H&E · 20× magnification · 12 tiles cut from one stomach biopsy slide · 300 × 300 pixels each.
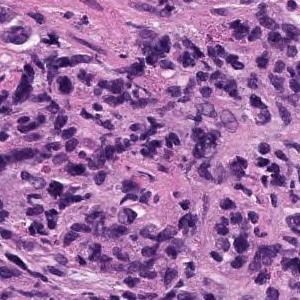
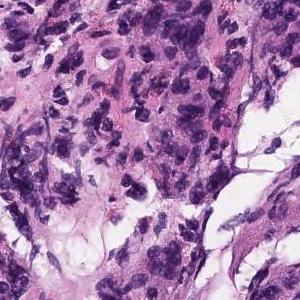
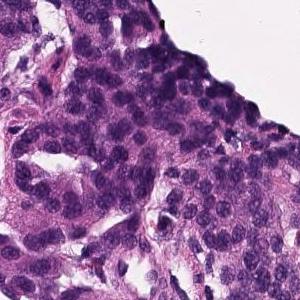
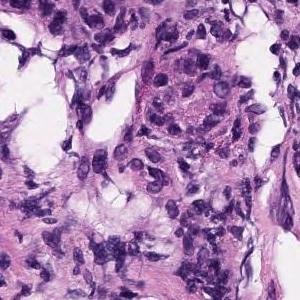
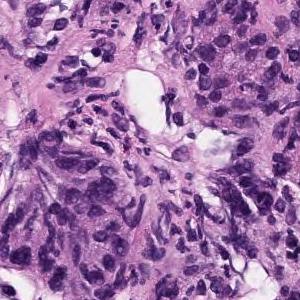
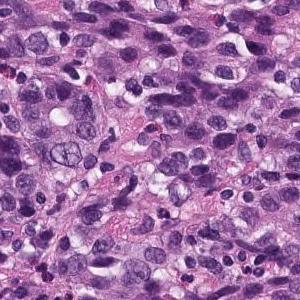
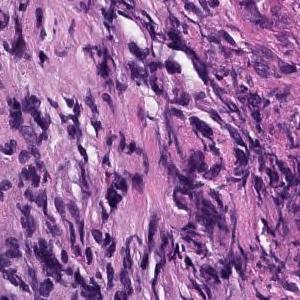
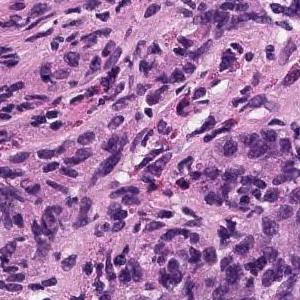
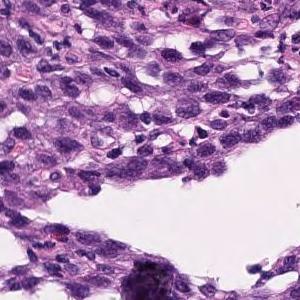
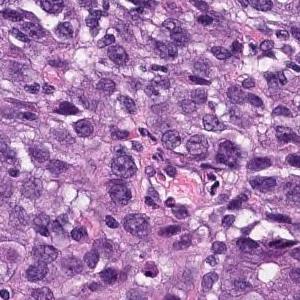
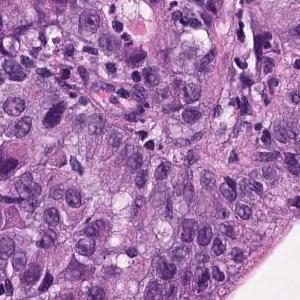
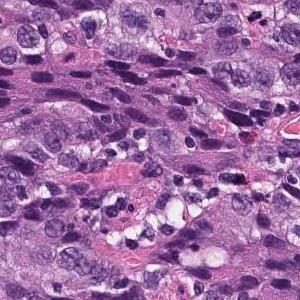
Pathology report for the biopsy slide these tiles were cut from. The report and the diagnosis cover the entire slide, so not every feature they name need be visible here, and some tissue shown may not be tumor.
In the superficial epithelium, tumor tissue that invades by forming medium-sized to small, irregular ducts is observed. Moderately differentiated adenocarcinoma.
Histologic type: Moderately differentiated tubular adenocarcinoma.
